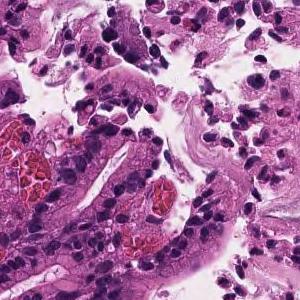
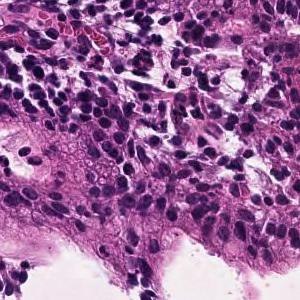
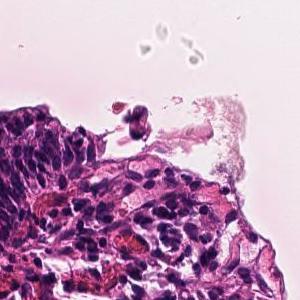
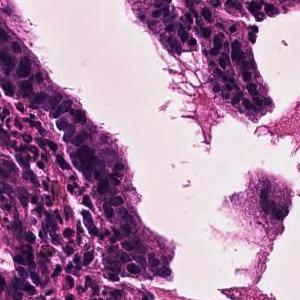
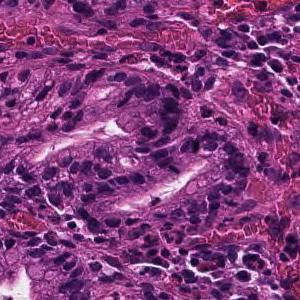
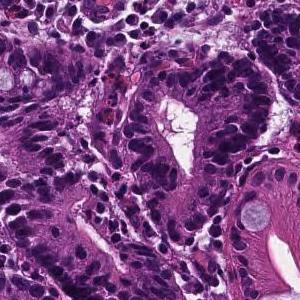
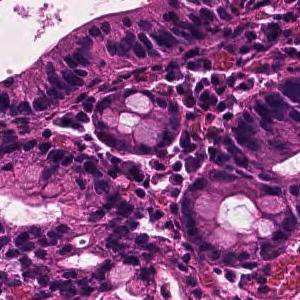
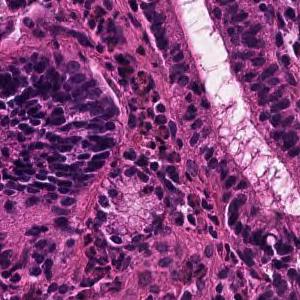
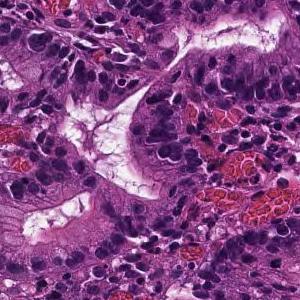
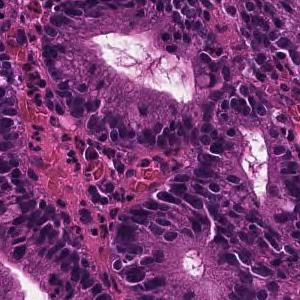
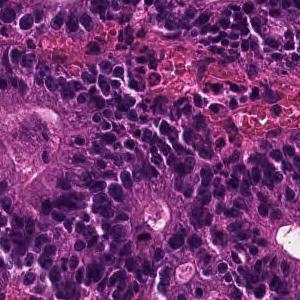
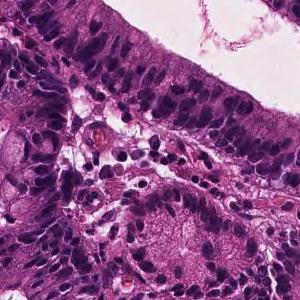
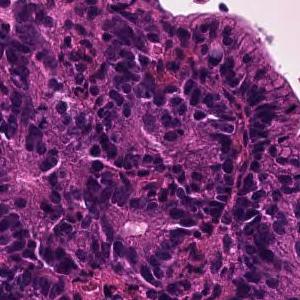
13 image tiles from a single gastric biopsy slide · ×20 · H&E.
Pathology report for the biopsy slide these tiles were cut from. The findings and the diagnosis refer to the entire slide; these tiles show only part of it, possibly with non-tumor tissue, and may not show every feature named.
In the superficial epithelium, tumor tissue that invades by forming medium-sized to small, irregular ducts is observed. moderately differentiated tubular adenocarcinoma.
